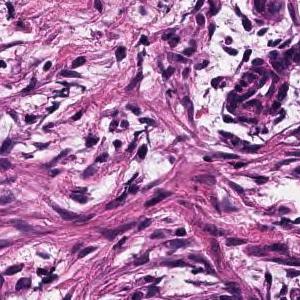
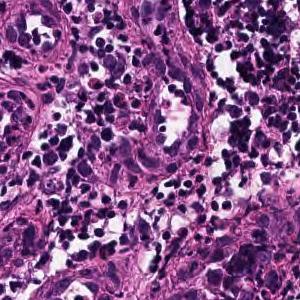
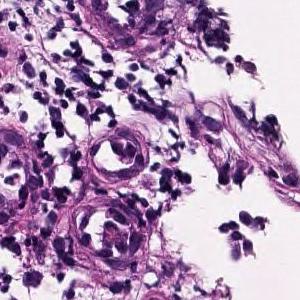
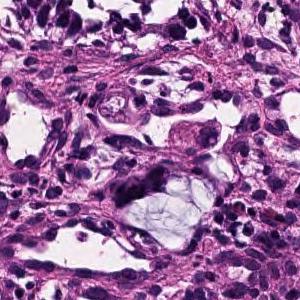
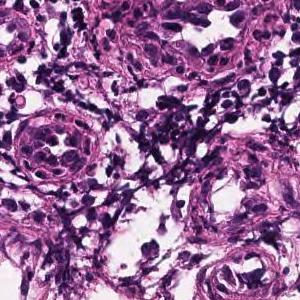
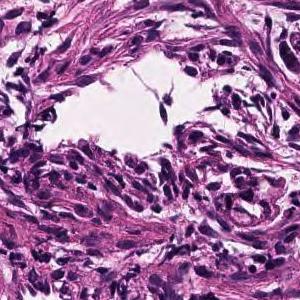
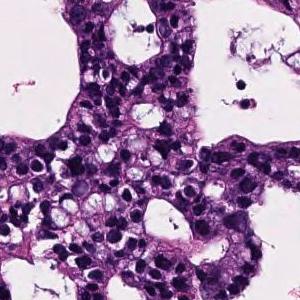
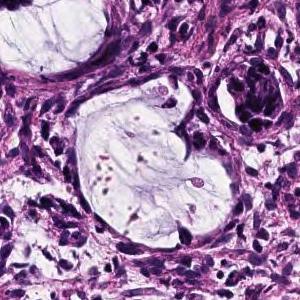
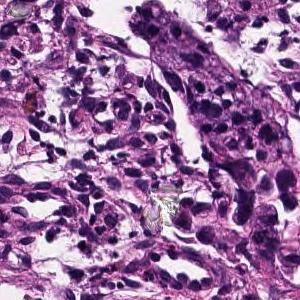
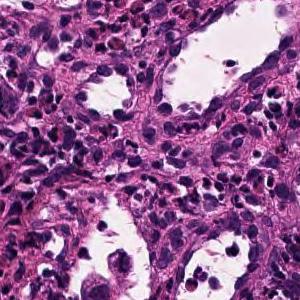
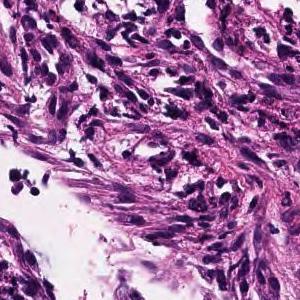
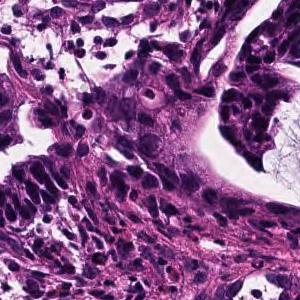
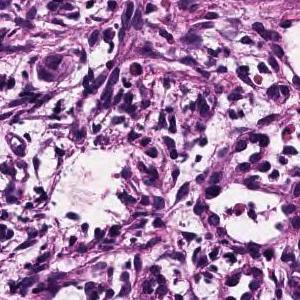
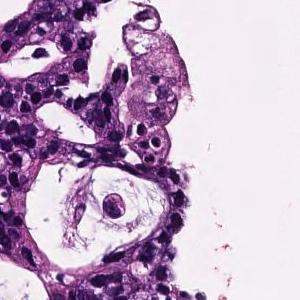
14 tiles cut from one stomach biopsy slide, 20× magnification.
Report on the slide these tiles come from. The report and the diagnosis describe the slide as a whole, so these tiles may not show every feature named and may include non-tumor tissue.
On the superficial epithelium, tumor tissue consisting of large, irregular glandular ducts partially fused and infiltrated is observed. Well to moderately differentiated tubular adenocarcinoma (well differentiated tubular adenocarcinoma, moderately differentiated tubular adenocarcinoma)
Histological subtype: Well to moderately differentiated tubular adenocarcinoma.
